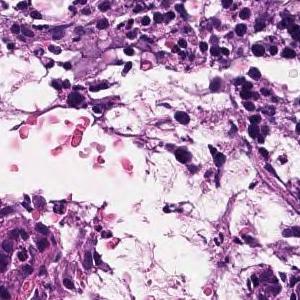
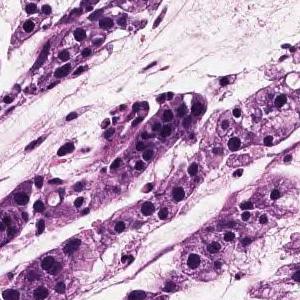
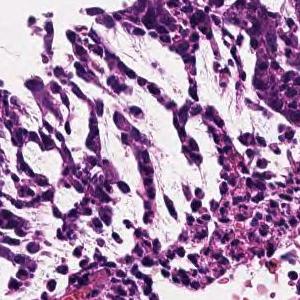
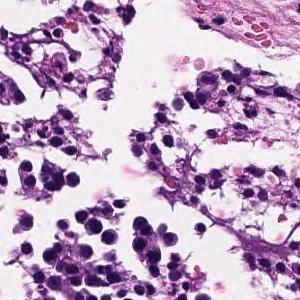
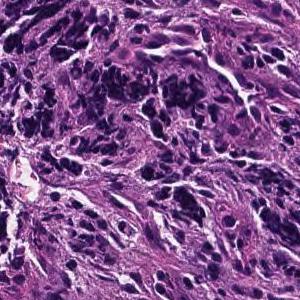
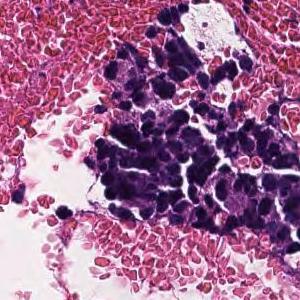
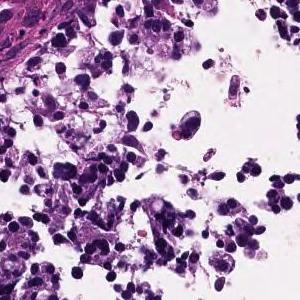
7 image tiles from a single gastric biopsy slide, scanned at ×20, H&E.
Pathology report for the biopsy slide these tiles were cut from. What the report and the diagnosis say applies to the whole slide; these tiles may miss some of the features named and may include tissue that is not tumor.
The superficial epithelium shows a large sheet-like shape, and some tumor tissue infiltrates with small irregular ducts. Poorly differentiated adenocarcinoma, solid-type
Histological subtype: Poorly differentiated adenocarcinoma, solid type (Japanese Classification of Gastric Carcinoma). The WHO 2019 equivalent is tubular adenocarcinoma, poorly differentiated.
